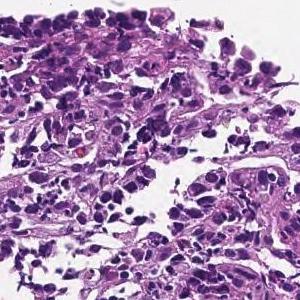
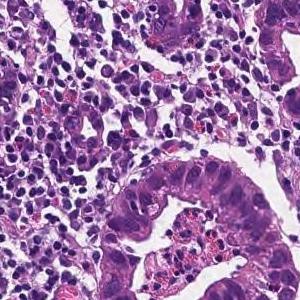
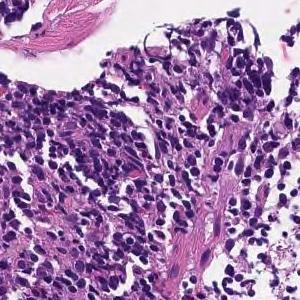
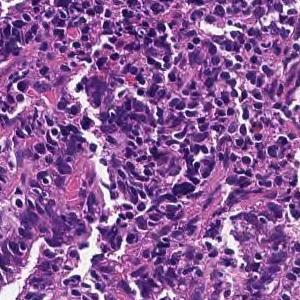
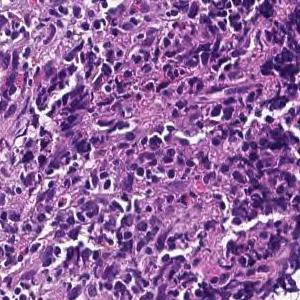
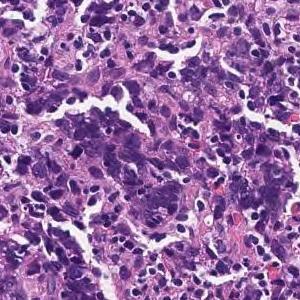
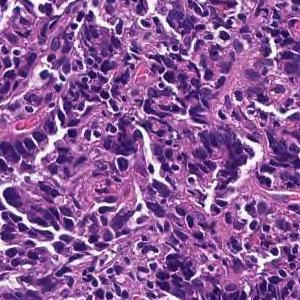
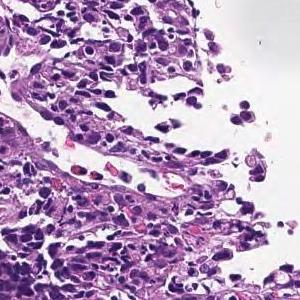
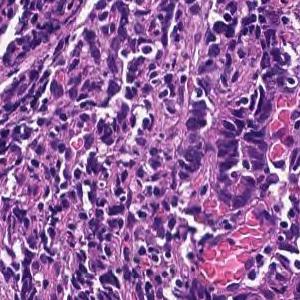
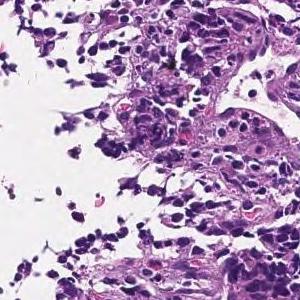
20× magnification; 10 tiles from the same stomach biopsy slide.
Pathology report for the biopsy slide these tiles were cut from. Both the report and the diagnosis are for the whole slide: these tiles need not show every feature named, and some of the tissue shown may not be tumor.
Tumor tissue consisting of medium-sized, cord-like or irregular glandular infiltration is observed in the superficial epithelium. Poorly differentiated adenocarcinoma, non-solid type or moderately differentiated tubular adenocarcinoma
Subtype: Moderately to poorly differentiated adenocarcinoma.
The term "non-solid type" comes from the Japanese Classification of Gastric Carcinoma.
